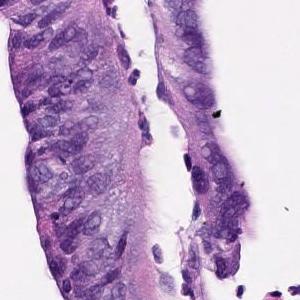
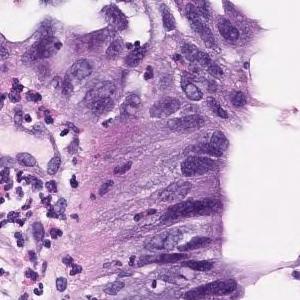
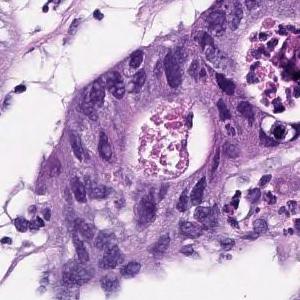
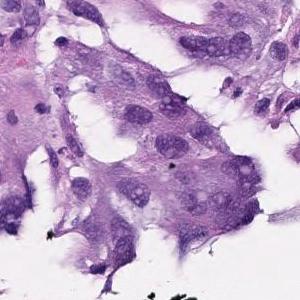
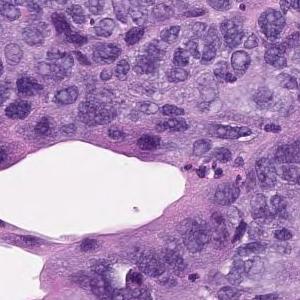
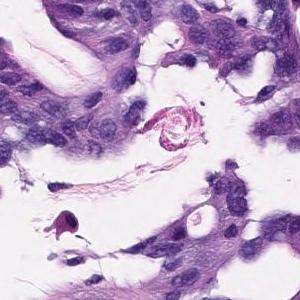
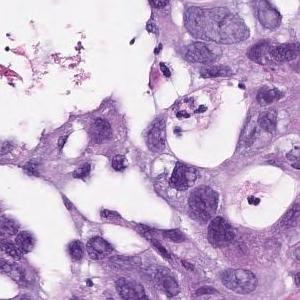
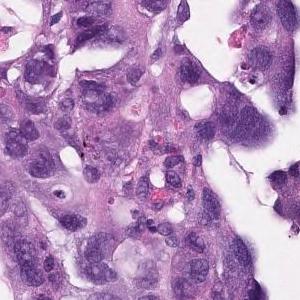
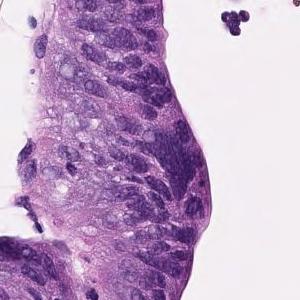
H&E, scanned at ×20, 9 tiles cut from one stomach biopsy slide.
Pathology report for the biopsy slide these tiles were cut from. Both the report and the diagnosis are for the whole slide: these tiles need not show every feature named, and some of the tissue shown may not be tumor.
In the superficial epithelium, tumor tissue that invades by forming medium-sized to small, irregular ducts is observed. Moderately differentiated adenocarcinoma.
Tumor subtype: moderately differentiated tubular adenocarcinoma.
